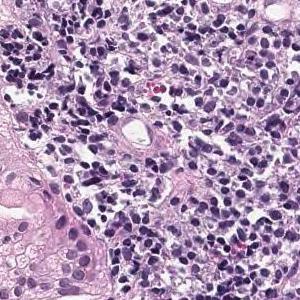
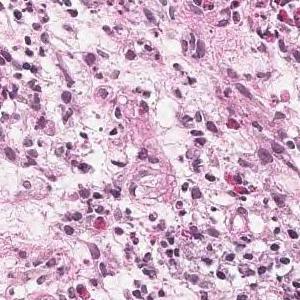
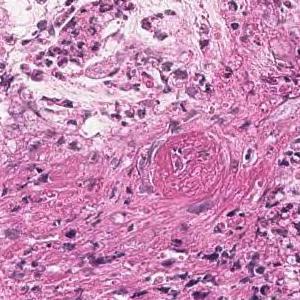
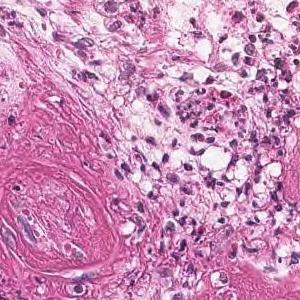
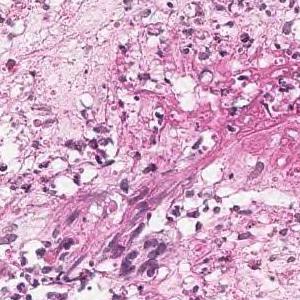
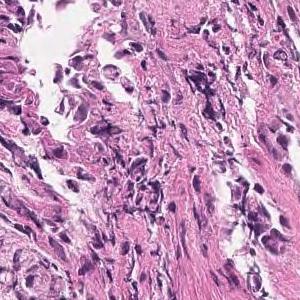
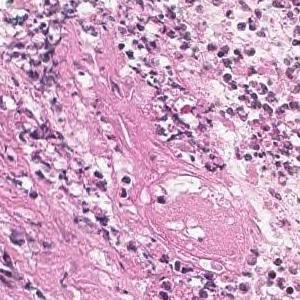
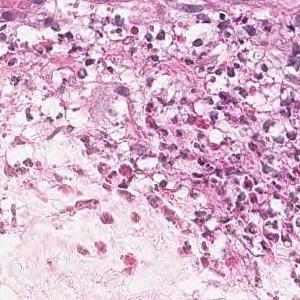
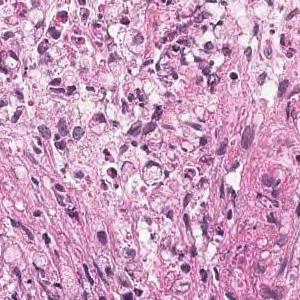
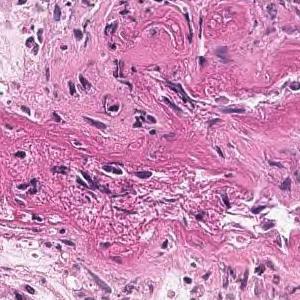
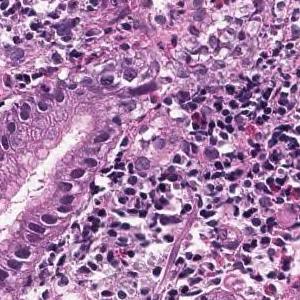
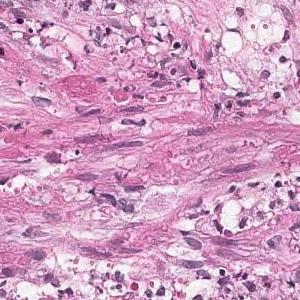
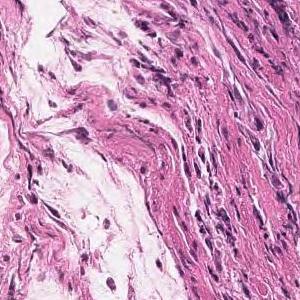
13 image tiles from a single gastric biopsy slide; 300×300 px each; H&E.
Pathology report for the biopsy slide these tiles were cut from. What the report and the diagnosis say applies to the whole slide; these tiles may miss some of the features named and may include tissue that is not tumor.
Tumor tissue is observed in which atypical epithelial cells with mucus in the vesicles proliferate while being isolated. Signet ring cell carcinoma
